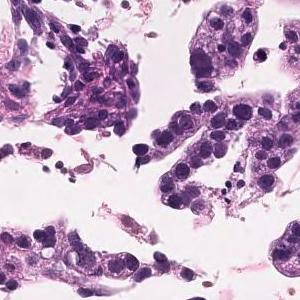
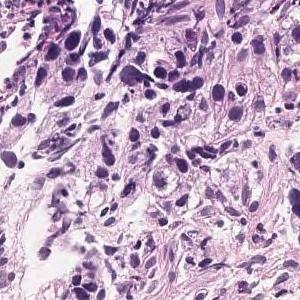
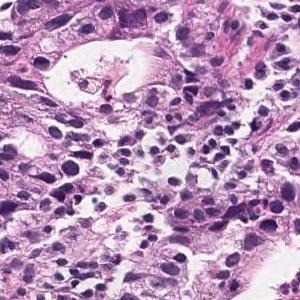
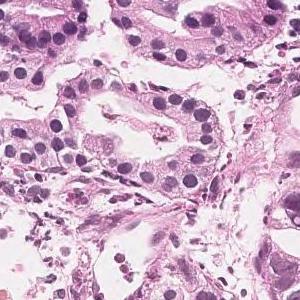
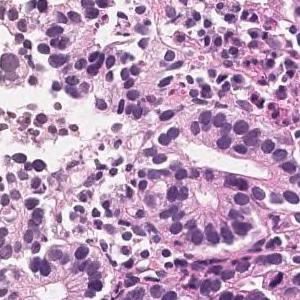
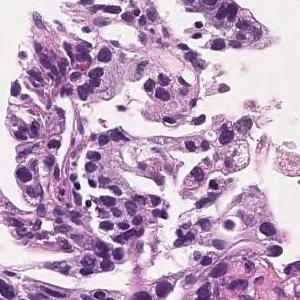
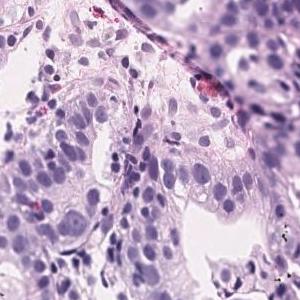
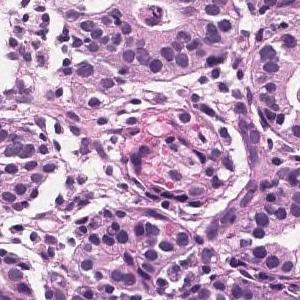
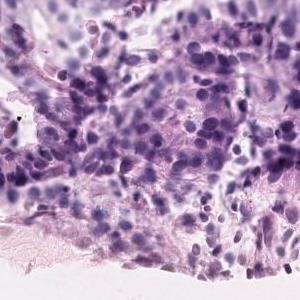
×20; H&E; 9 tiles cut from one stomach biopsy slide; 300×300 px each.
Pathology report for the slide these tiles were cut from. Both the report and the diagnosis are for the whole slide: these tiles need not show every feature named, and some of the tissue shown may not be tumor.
In the superficial epithelium, tumor tissue that invades by forming medium-sized to small, irregular ducts is observed. moderately differentiated tubular adenocarcinoma.
